×20 · H&E · 11 patches cut from one gastric biopsy slide · 300 × 300 pixels each.
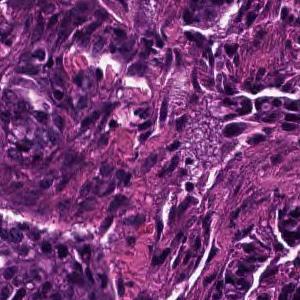
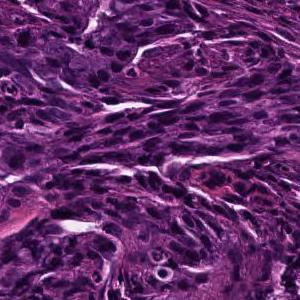
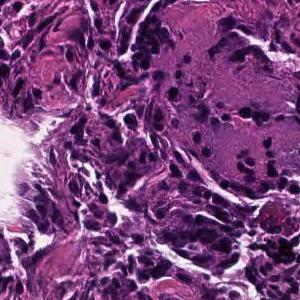
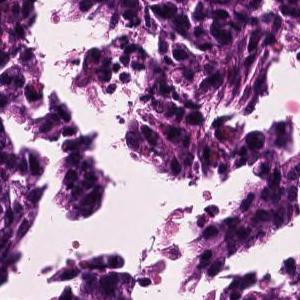
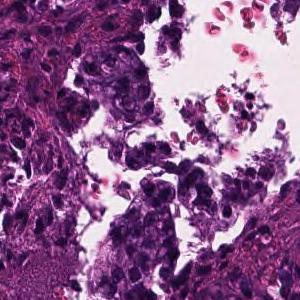
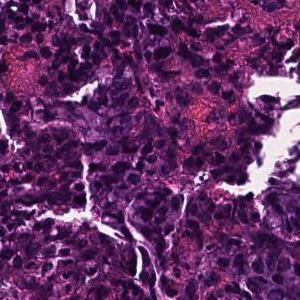
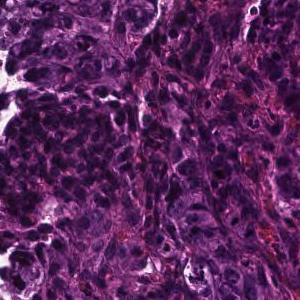
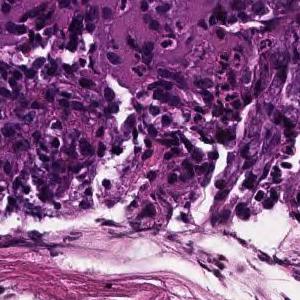
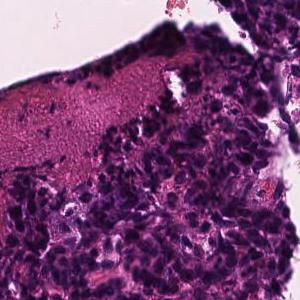
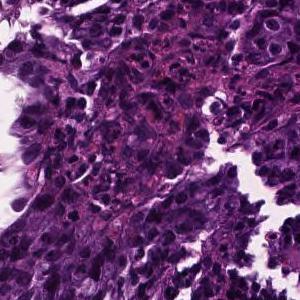
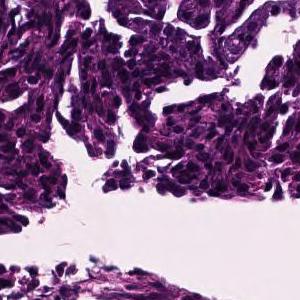
The pathologist's report on the biopsy slide these tiles were taken from. The report and the diagnosis cover the entire slide, so not every feature they name need be visible here, and some tissue shown may not be tumor.
Tumor tissue consisting of medium-sized, cord-like or irregular glandular infiltration is observed in the superficial epithelium. Poorly differentiated adenocarcinoma, non-solid type or moderately differentiated tubular adenocarcinoma
Histologic type: Moderately to poorly differentiated adenocarcinoma.
"Non-solid type" is a category of the Japanese Classification of Gastric Carcinoma.
